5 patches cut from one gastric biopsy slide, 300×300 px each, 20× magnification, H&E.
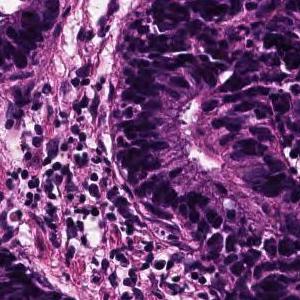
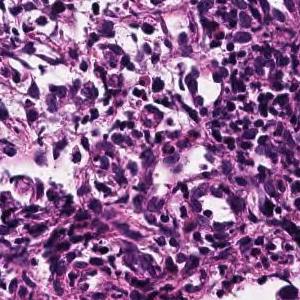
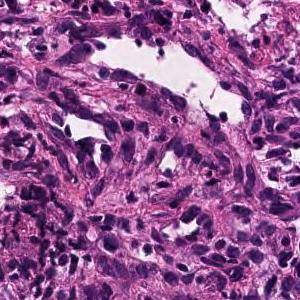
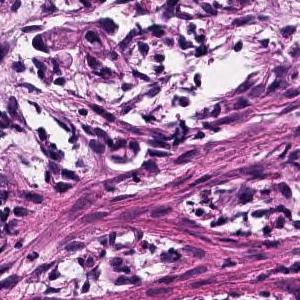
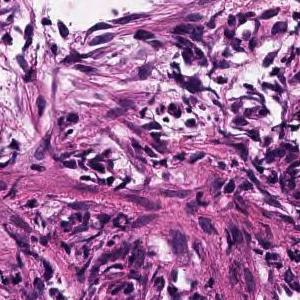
Diagnostic report for the slide these tiles come from. The report and the diagnosis cover the entire slide, so not every feature they name need be visible here, and some tissue shown may not be tumor.
On the superficial epithelium, tumor tissue consisting of large, irregular glandular ducts partially fused and infiltrated is observed. Well to moderately differentiated tubular adenocarcinoma (well differentiated tubular adenocarcinoma, moderately differentiated tubular adenocarcinoma)
Histologic type: Well to moderately differentiated tubular adenocarcinoma.
